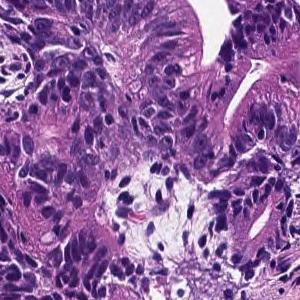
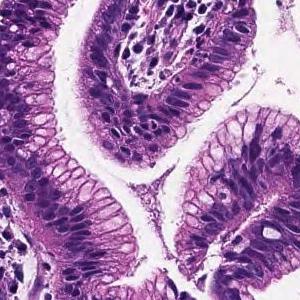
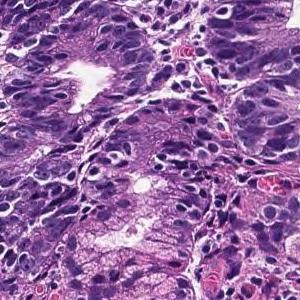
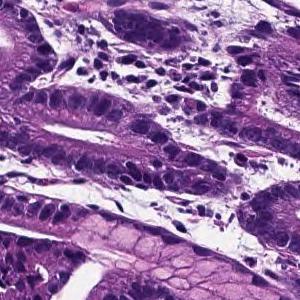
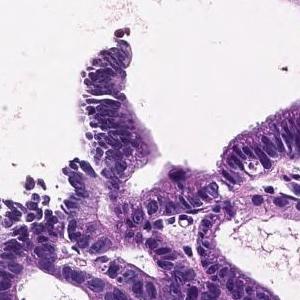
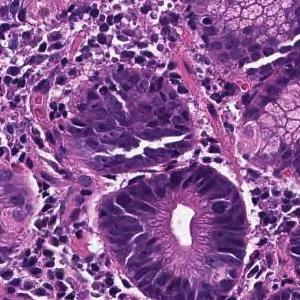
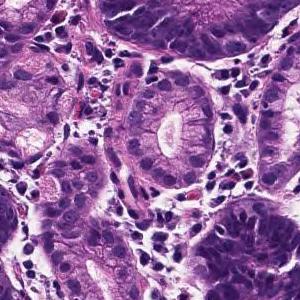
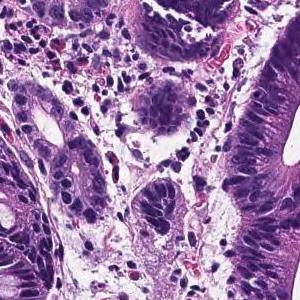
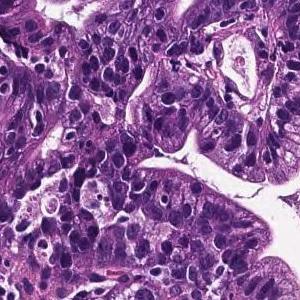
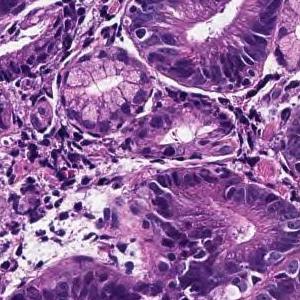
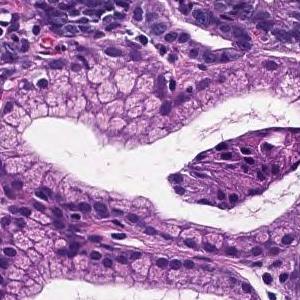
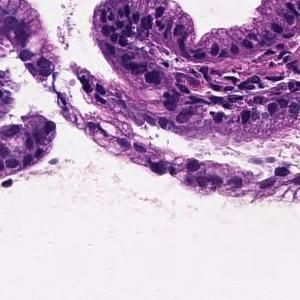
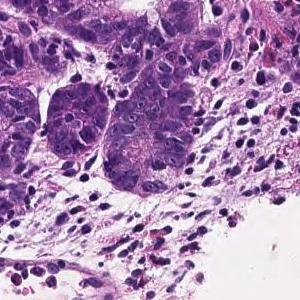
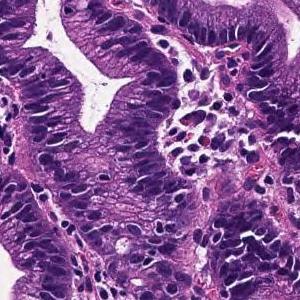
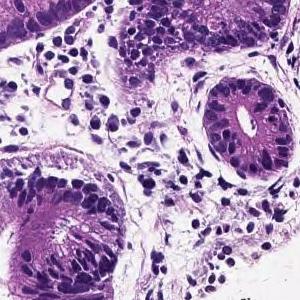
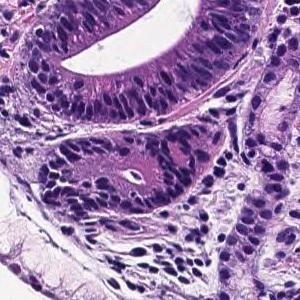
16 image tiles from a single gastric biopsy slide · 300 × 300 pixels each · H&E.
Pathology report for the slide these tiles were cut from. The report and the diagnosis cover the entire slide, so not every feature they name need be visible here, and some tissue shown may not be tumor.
From the superficial epithelium to the muscularis mucosae, tumor tissue consisting of medium-sized and irregular glandular ducts infiltrating is observed. Well differentiated tubular adenocarcinoma
